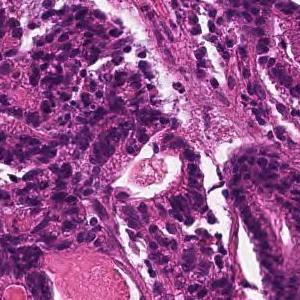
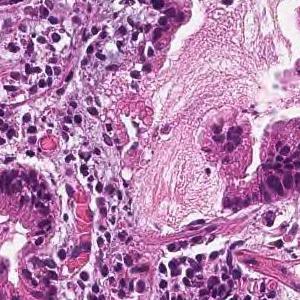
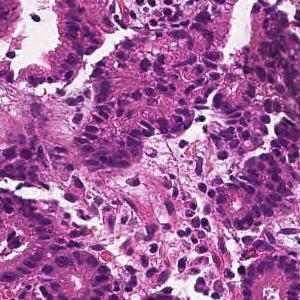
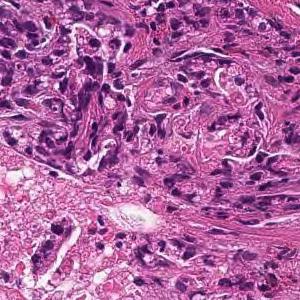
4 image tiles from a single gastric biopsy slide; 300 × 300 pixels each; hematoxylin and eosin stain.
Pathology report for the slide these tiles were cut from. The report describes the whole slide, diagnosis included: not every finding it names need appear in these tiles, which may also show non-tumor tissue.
From the superficial epithelium to the muscularis mucosae, tumor tissue consisting of medium-sized and irregular glandular ducts infiltrating is observed. Well differentiated tubular adenocarcinoma
